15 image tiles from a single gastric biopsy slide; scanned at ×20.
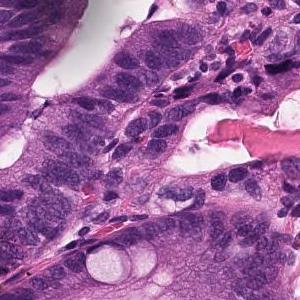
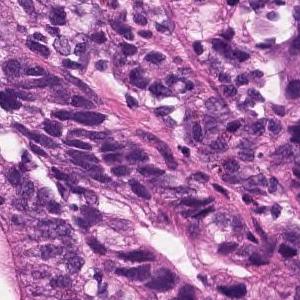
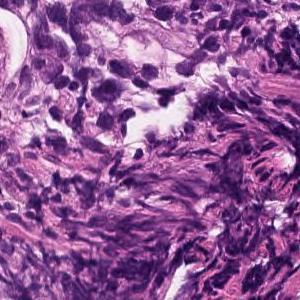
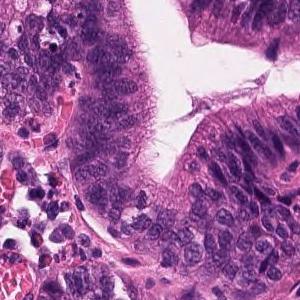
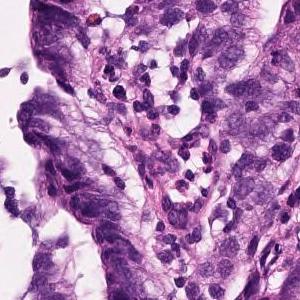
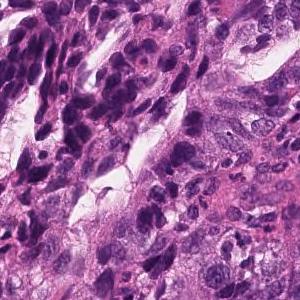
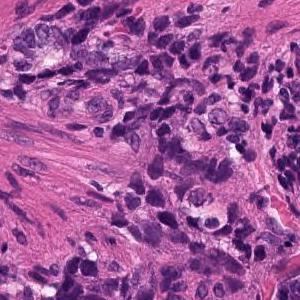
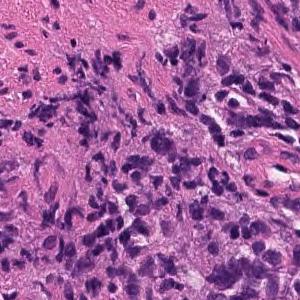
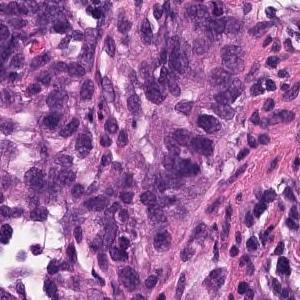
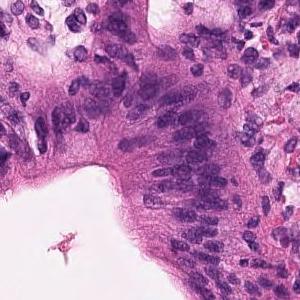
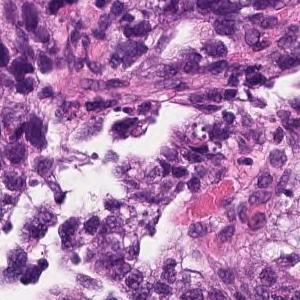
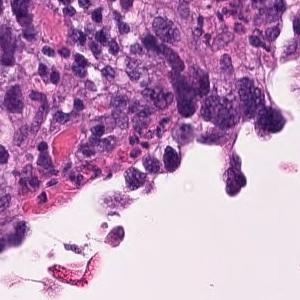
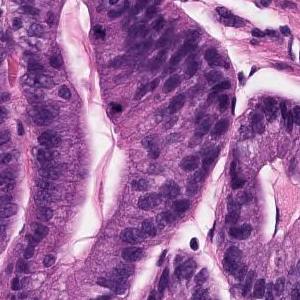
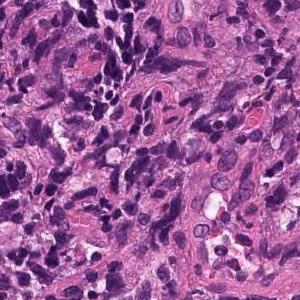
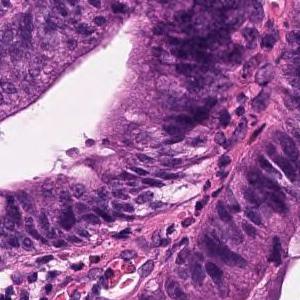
The pathologist's report on the biopsy slide these tiles were taken from. The report describes the whole slide, diagnosis included: not every finding it names need appear in these tiles, which may also show non-tumor tissue.
In the superficial epithelium, tumor tissue that invades by forming medium-sized to small, irregular ducts is observed. Moderately differentiated adenocarcinoma.
Tumor subtype: moderately differentiated tubular adenocarcinoma.
